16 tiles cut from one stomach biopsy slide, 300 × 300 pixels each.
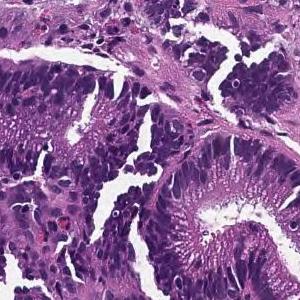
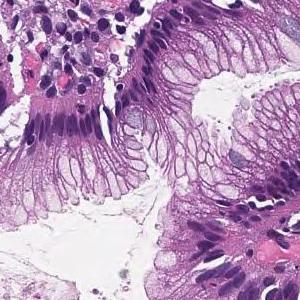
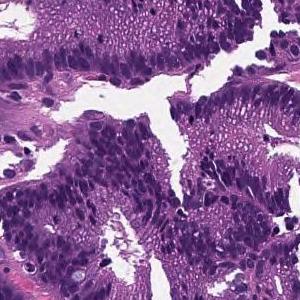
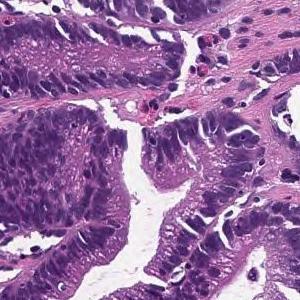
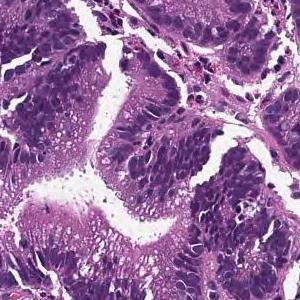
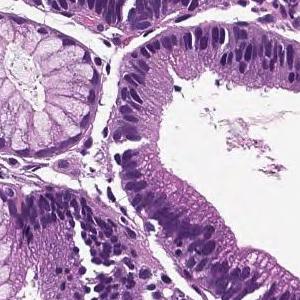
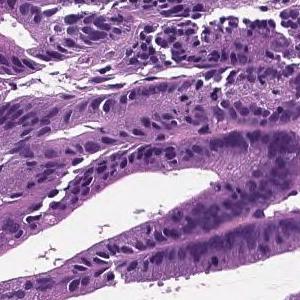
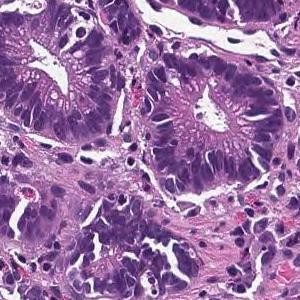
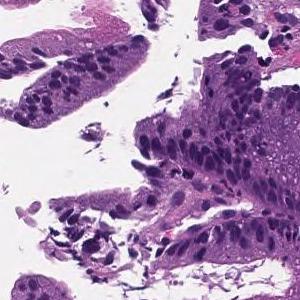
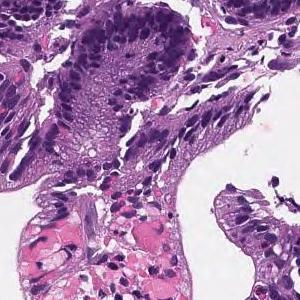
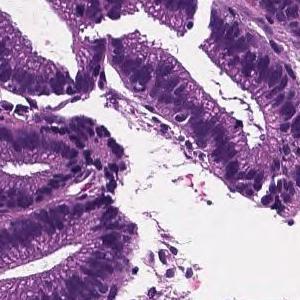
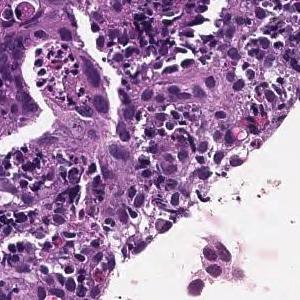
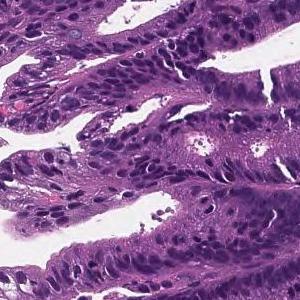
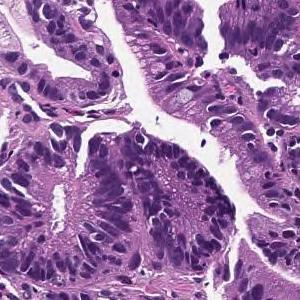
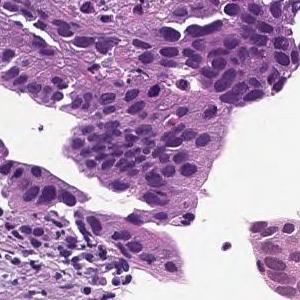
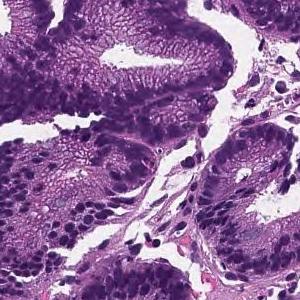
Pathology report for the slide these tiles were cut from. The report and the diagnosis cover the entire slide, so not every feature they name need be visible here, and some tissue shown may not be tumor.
From the superficial epithelium to the muscularis mucosae, tumor tissue consisting of medium-sized and irregular glandular ducts infiltrating is observed. Well differentiated tubular adenocarcinoma
